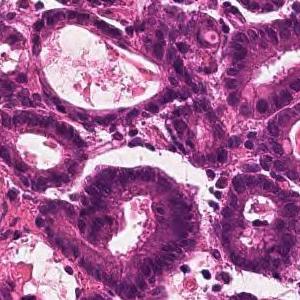
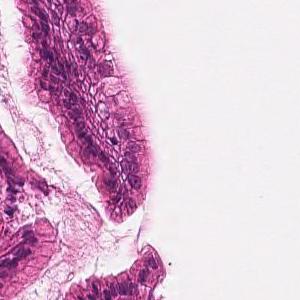
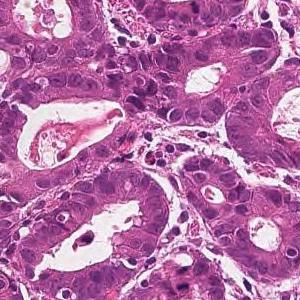
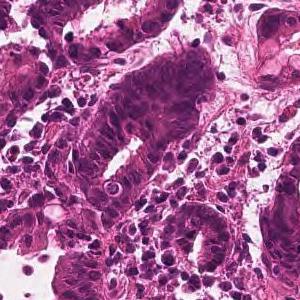
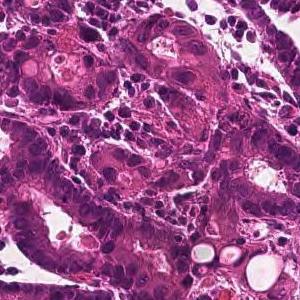
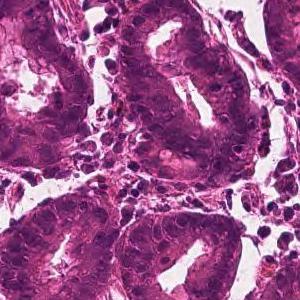
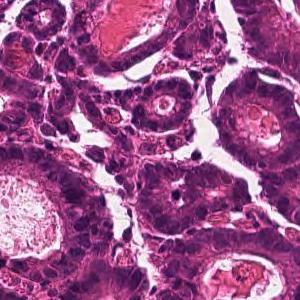
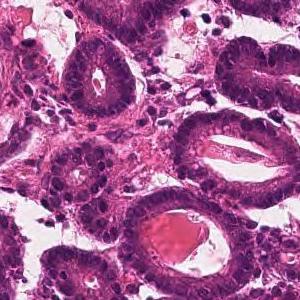
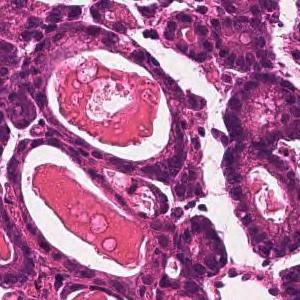
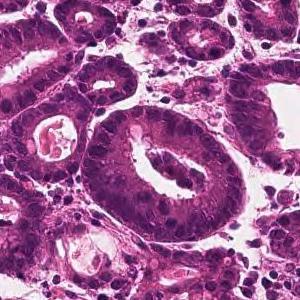
10 image tiles from a single gastric biopsy slide; 20× magnification.
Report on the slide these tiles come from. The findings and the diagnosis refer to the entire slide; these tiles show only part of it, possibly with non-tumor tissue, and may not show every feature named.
From the superficial epithelium to the muscularis mucosae, tumor tissue consisting of medium-sized and irregular glandular ducts infiltrating is observed. Well differentiated tubular adenocarcinoma
